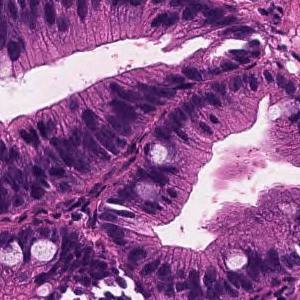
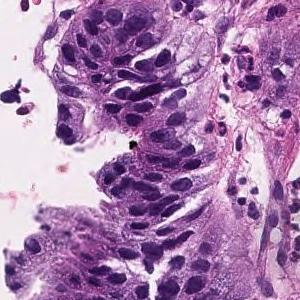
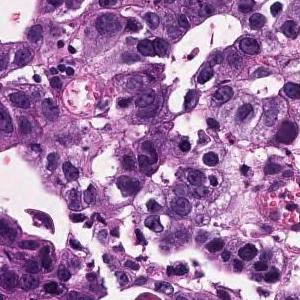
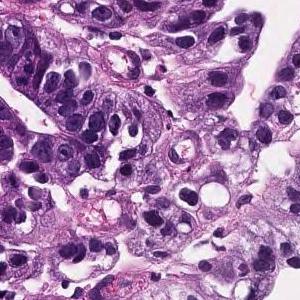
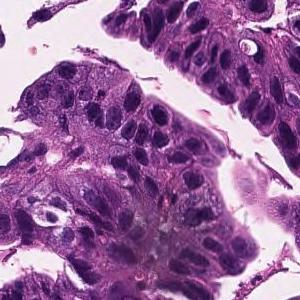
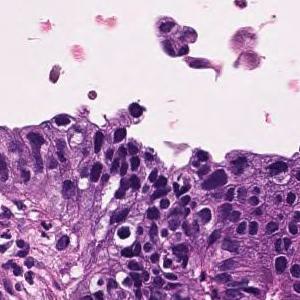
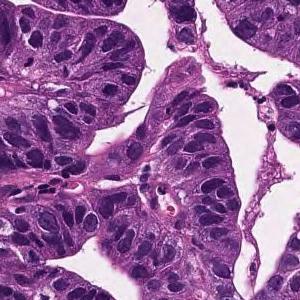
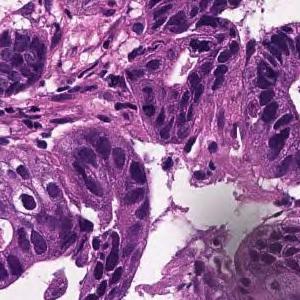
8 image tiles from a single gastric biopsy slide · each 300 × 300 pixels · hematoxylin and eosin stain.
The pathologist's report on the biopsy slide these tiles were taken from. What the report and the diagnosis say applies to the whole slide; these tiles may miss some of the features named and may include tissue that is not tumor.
Tumor cells are large, highly columnar, large club-shaped nuclei, and are associated with chromatin aggregation. Papillary adenocarcinoma.
